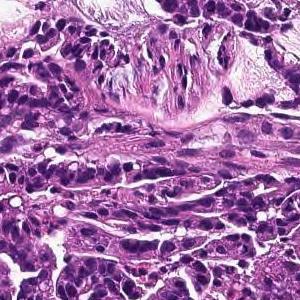
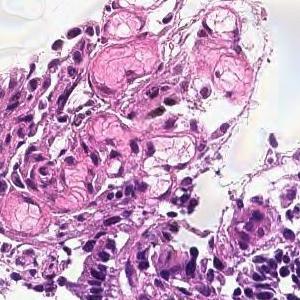
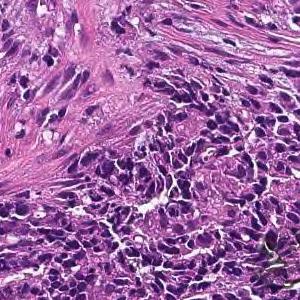
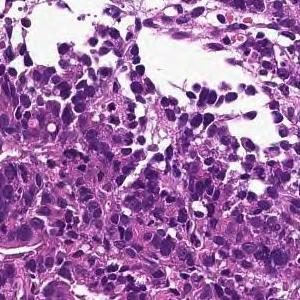
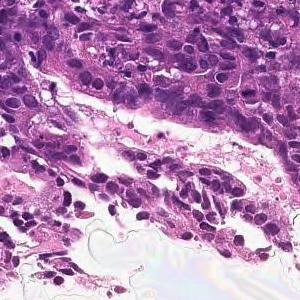
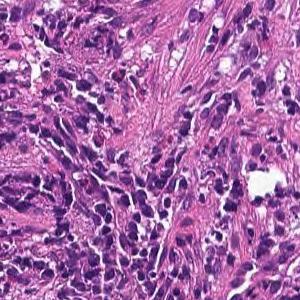
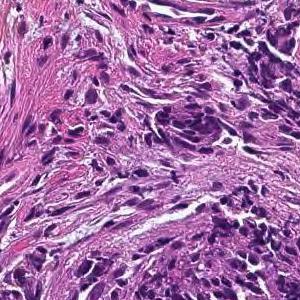
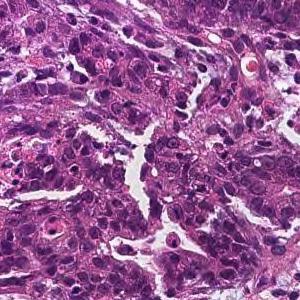
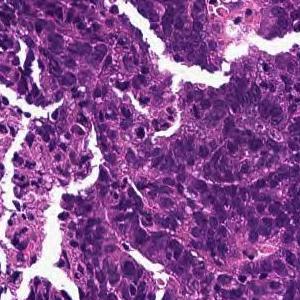
Hematoxylin and eosin stain · 9 image tiles from a single gastric biopsy slide.
Diagnostic report for the slide these tiles come from. What the report and the diagnosis say applies to the whole slide; these tiles may miss some of the features named and may include tissue that is not tumor.
In the superficial epithelium, tumor tissue that invades by forming medium-sized to small, irregular ducts is observed. moderately differentiated tubular adenocarcinoma.
